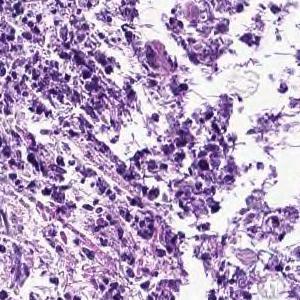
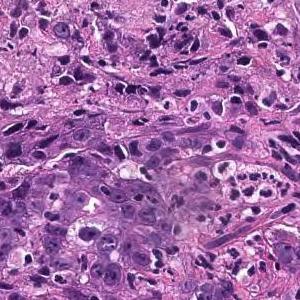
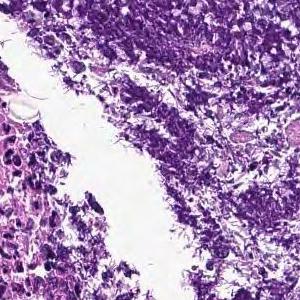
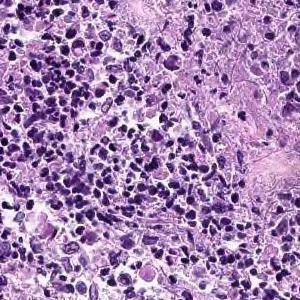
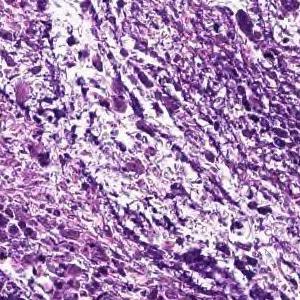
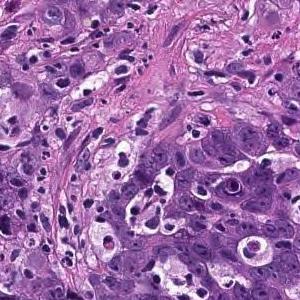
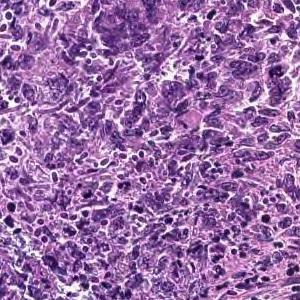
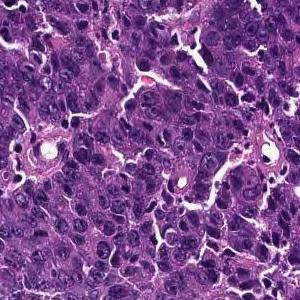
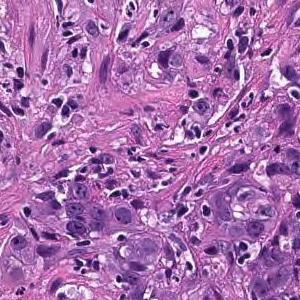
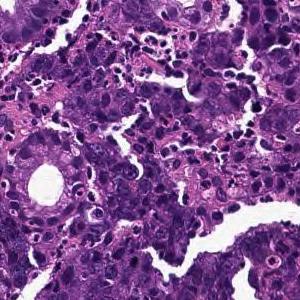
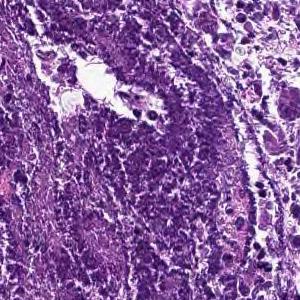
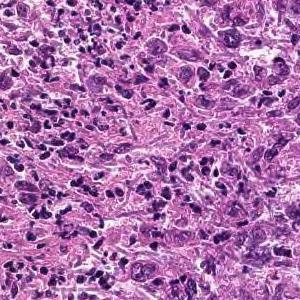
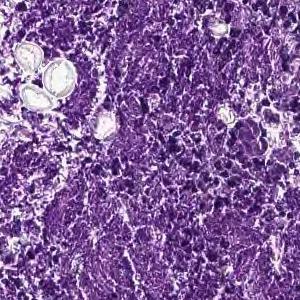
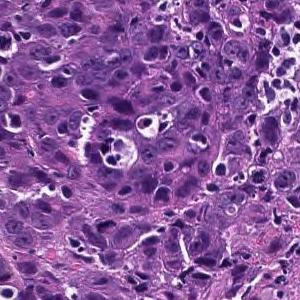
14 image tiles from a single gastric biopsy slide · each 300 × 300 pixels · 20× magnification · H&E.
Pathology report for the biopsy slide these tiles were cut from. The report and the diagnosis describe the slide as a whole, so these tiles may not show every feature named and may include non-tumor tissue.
Cancers with polygonal nuclei do not show glandular formation and are densely, in part, cord-like and proliferate. Poorly differentiated adenocarcinoma
Tumor subtype: poorly differentiated adenocarcinoma, non-solid type.
"Non-solid type" is a category of the Japanese Classification of Gastric Carcinoma.
